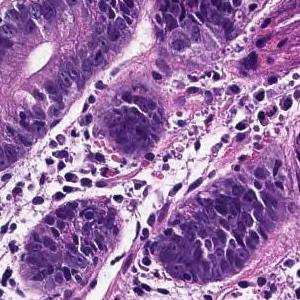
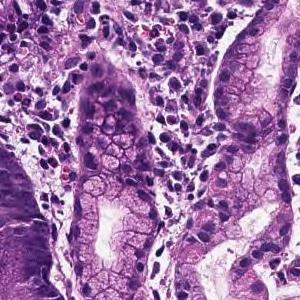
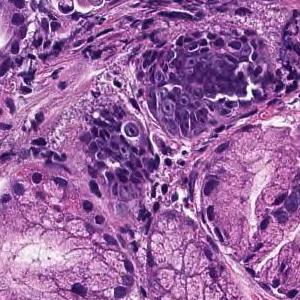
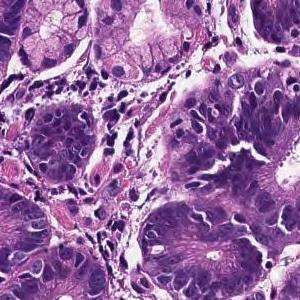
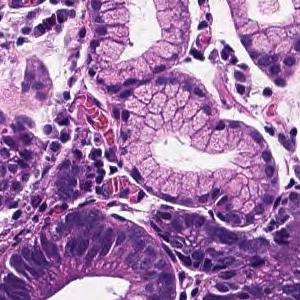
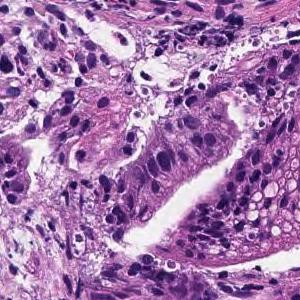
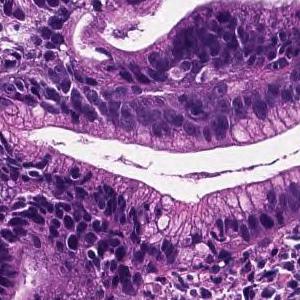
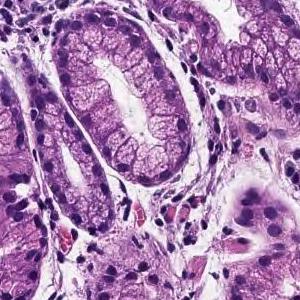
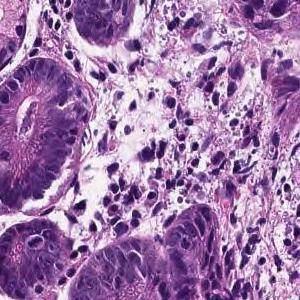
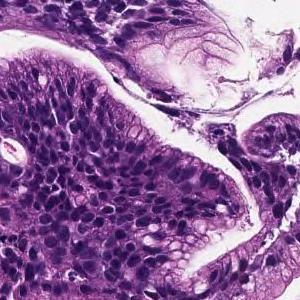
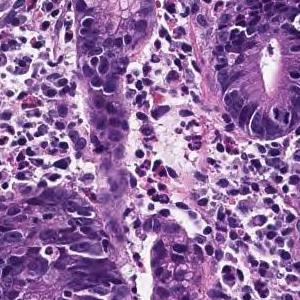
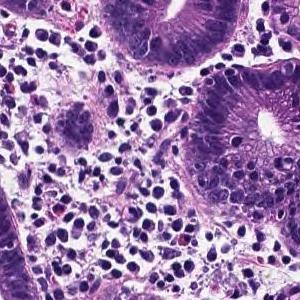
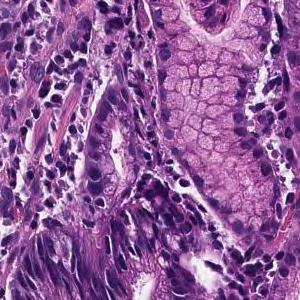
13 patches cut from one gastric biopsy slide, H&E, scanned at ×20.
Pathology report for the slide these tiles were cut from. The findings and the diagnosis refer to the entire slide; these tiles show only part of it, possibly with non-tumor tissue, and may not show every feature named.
From the superficial epithelium to the muscularis mucosae, tumor tissue consisting of medium-sized and irregular glandular ducts infiltrating is observed. Well differentiated tubular adenocarcinoma
